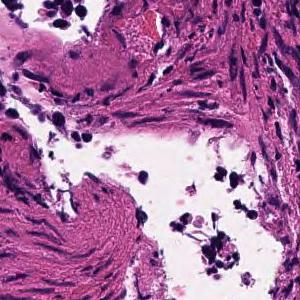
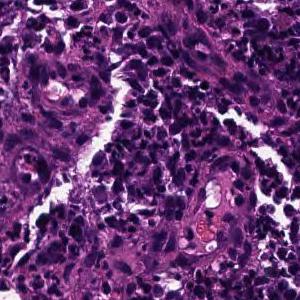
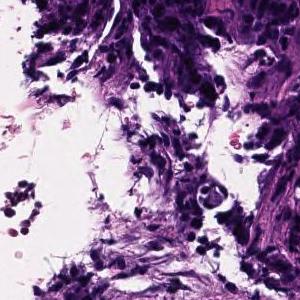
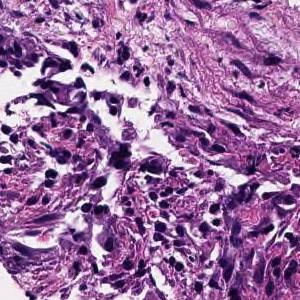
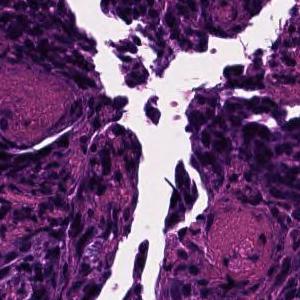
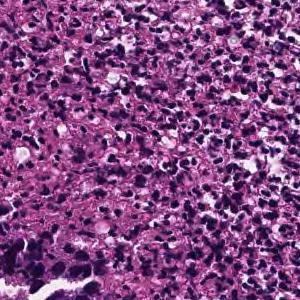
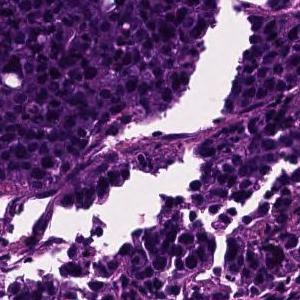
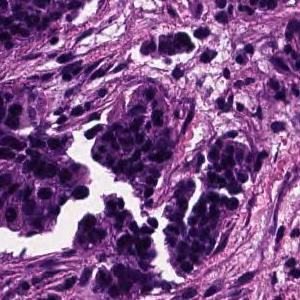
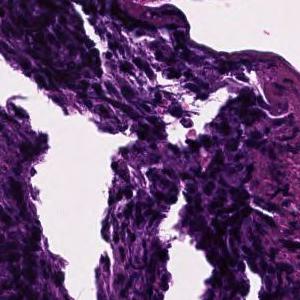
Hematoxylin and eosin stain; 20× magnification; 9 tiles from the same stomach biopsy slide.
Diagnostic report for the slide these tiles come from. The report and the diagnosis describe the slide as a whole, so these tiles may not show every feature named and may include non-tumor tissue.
In the superficial epithelium, tumor tissue that invades by forming medium-sized to small, irregular ducts is observed. moderately differentiated tubular adenocarcinoma.
